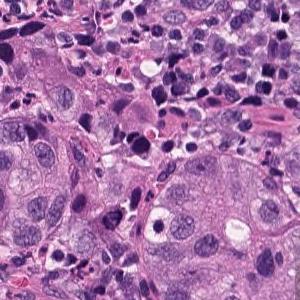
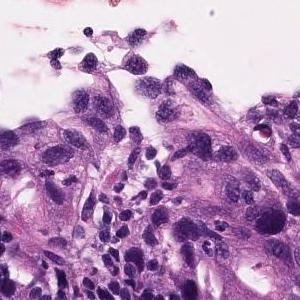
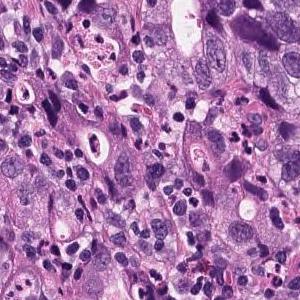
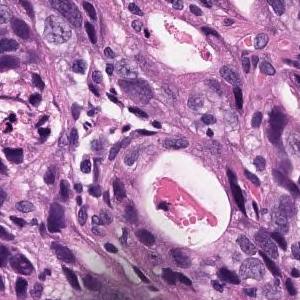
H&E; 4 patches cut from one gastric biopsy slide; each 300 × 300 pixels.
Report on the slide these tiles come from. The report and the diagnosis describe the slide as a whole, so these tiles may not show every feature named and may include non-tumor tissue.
In the superficial epithelium, tumor tissue that invades by forming medium-sized to small, irregular ducts is observed. Moderately differentiated adenocarcinoma.
Subtype: Moderately differentiated tubular adenocarcinoma.
